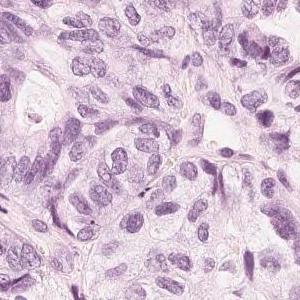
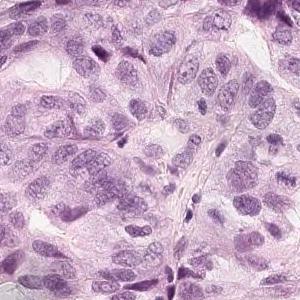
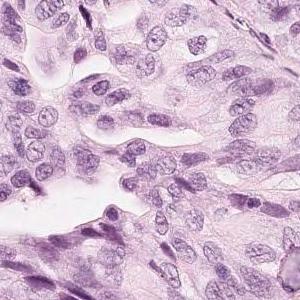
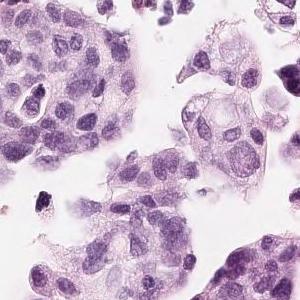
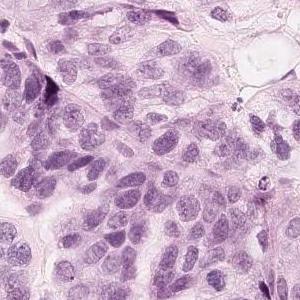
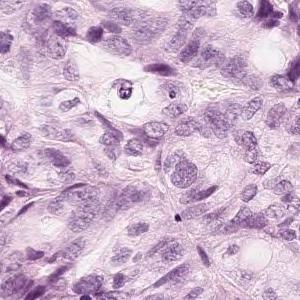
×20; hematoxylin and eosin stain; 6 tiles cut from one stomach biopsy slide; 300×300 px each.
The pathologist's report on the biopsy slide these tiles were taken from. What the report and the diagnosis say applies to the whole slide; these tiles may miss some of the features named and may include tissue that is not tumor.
Tumor tissue in which medium-sized atypical epithelial cells with a large N/C ratio grow densely while becoming alveolar to cord-like with duct formation is observed. moderately differentiated tubular adenocarcinoma
